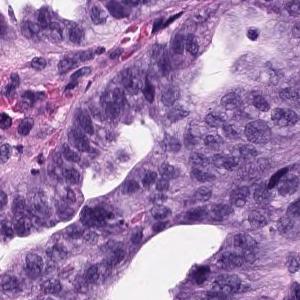
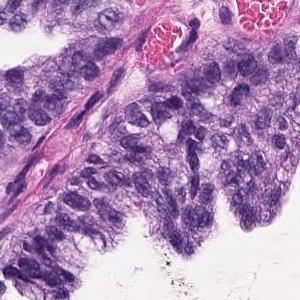
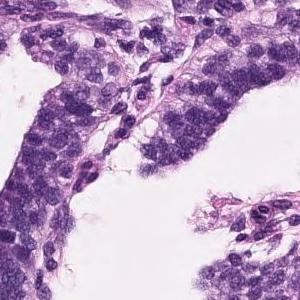
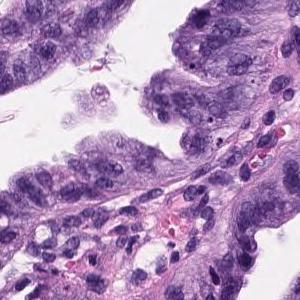
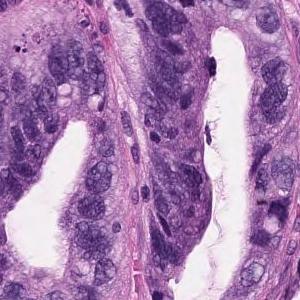
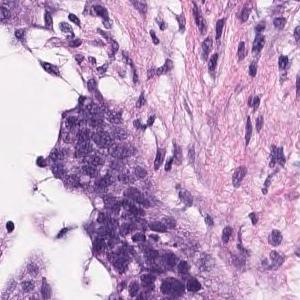
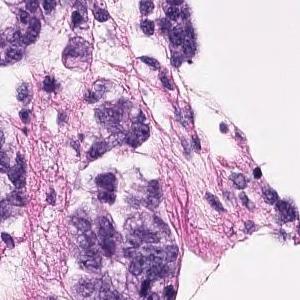
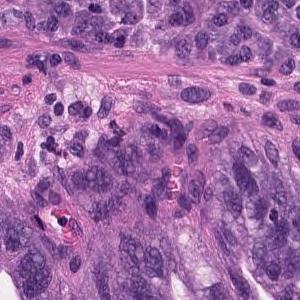
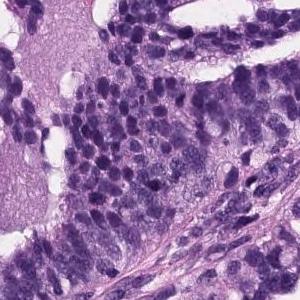
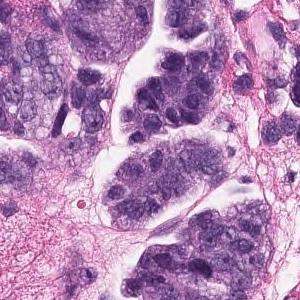
H&E stain; 10 tiles cut from one stomach biopsy slide.
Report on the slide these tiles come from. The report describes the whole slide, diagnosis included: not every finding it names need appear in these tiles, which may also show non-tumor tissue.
Tumor cells are large, highly columnar, large club-shaped nuclei, and are associated with chromatin aggregation. Papillary adenocarcinoma.
